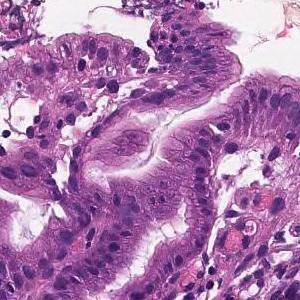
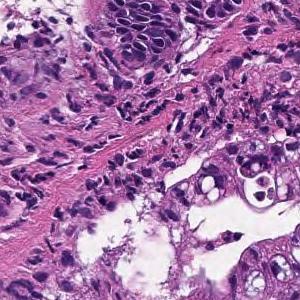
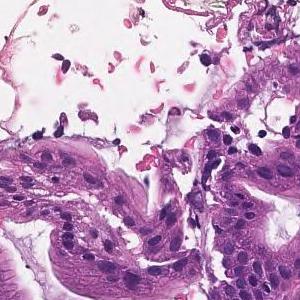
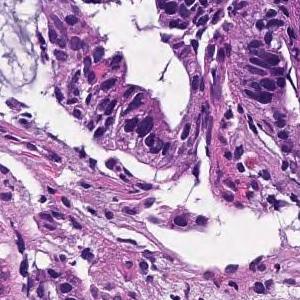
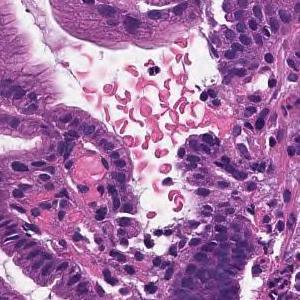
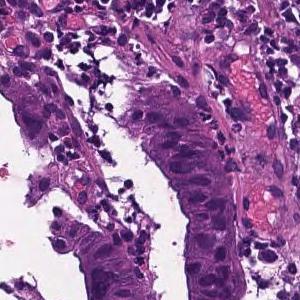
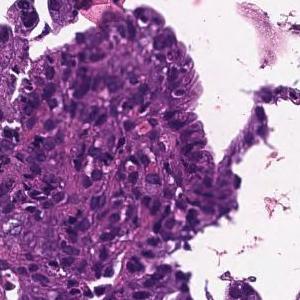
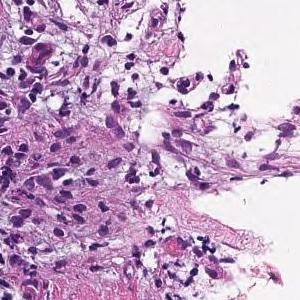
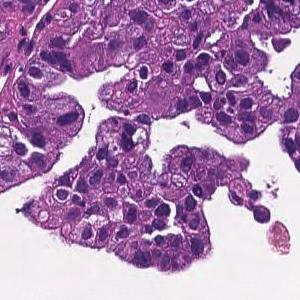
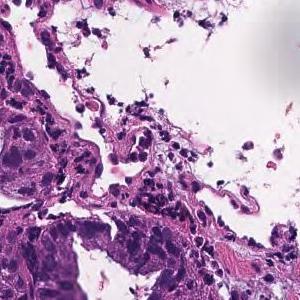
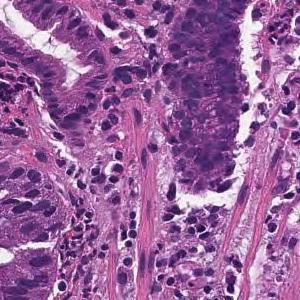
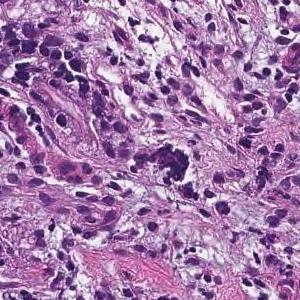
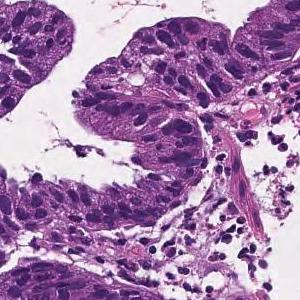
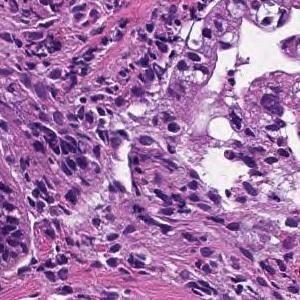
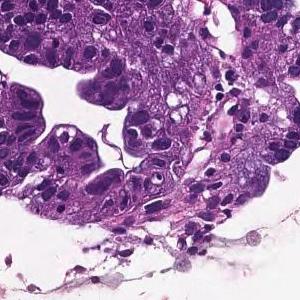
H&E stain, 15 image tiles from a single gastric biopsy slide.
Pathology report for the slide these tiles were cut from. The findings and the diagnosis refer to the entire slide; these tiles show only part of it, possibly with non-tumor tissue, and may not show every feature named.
From the superficial epithelium to the muscularis mucosae, tumor tissue consisting of medium-sized and irregular glandular ducts infiltrating is observed. Well differentiated tubular adenocarcinoma
